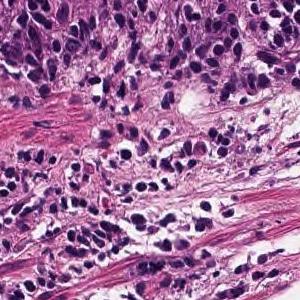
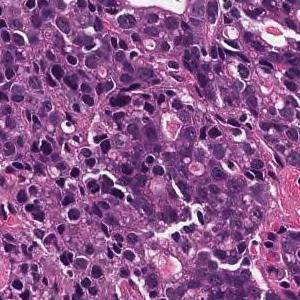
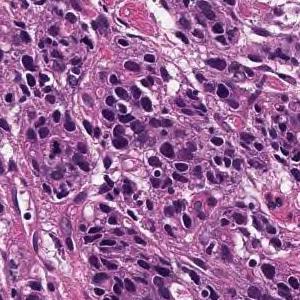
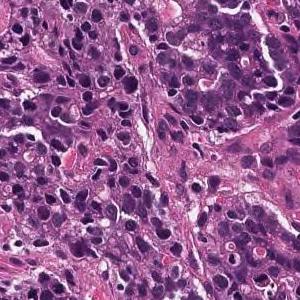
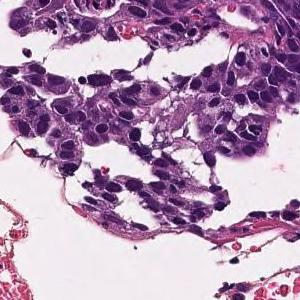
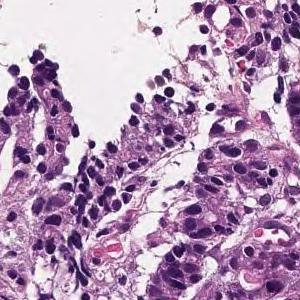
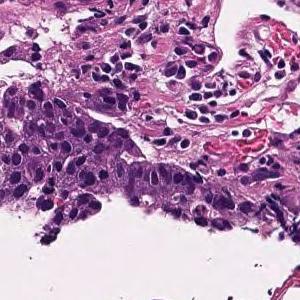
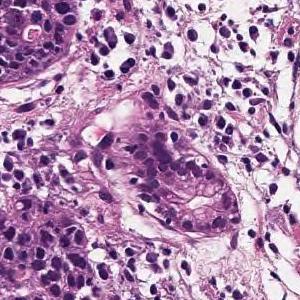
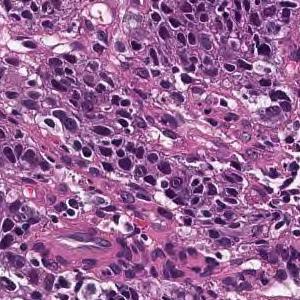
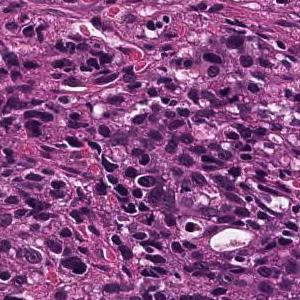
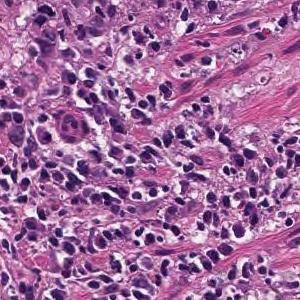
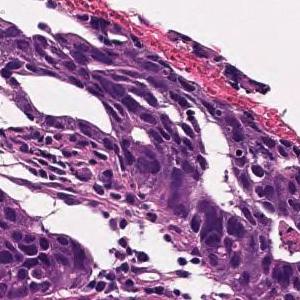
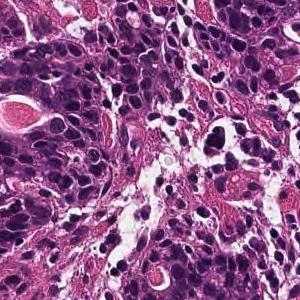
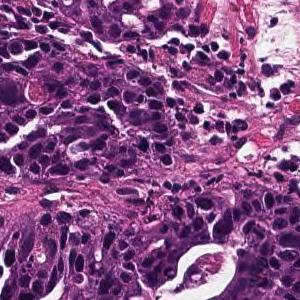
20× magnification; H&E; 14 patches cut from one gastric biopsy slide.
Pathology report for the slide these tiles were cut from. The report and the diagnosis cover the entire slide, so not every feature they name need be visible here, and some tissue shown may not be tumor.
Medium to small, irregular glandular ducts are formed in the superficial epithelium, and in some cases, the glandular ducts are fused to show solid alveolar lesions and infiltrating tumor tissue is observed. Moderately to poorly differentiated adenocarcinoma.
